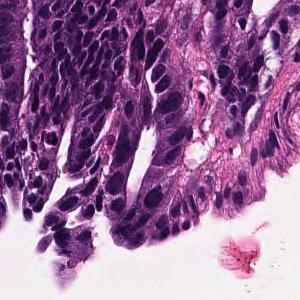
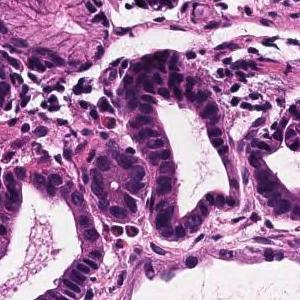
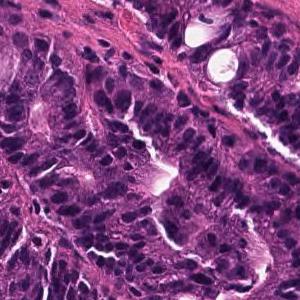
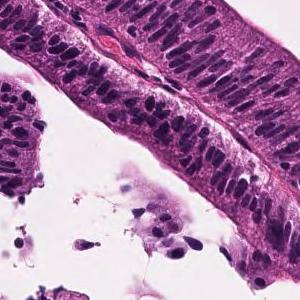
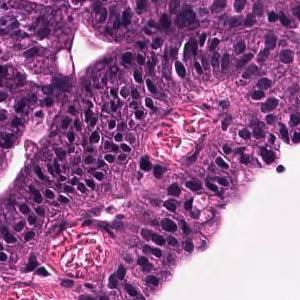
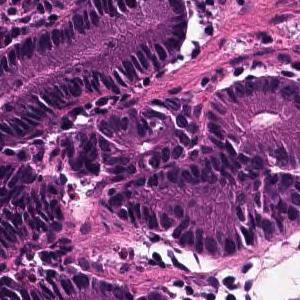
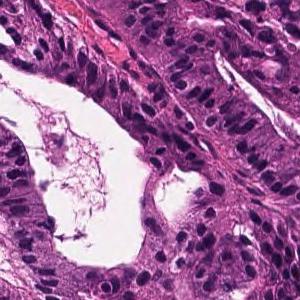
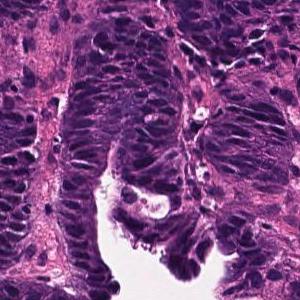
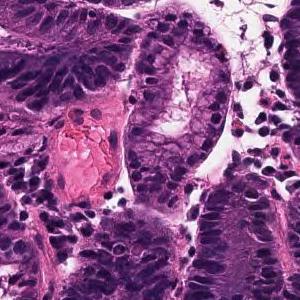
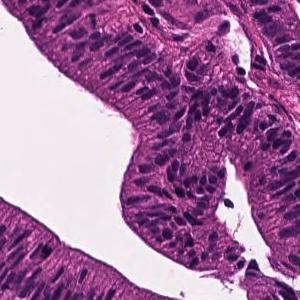
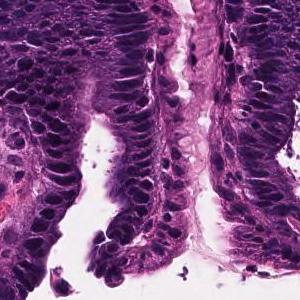
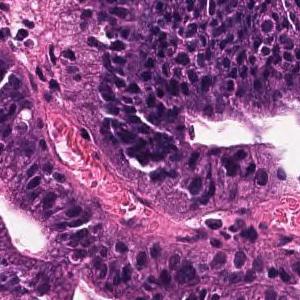
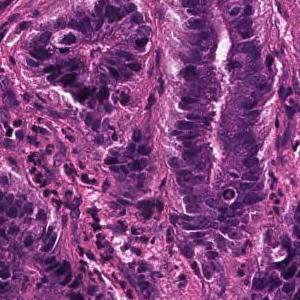
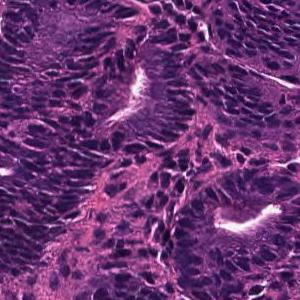
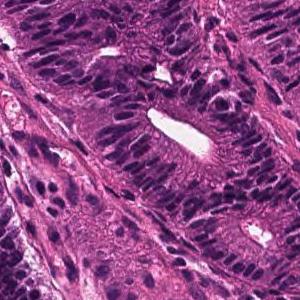
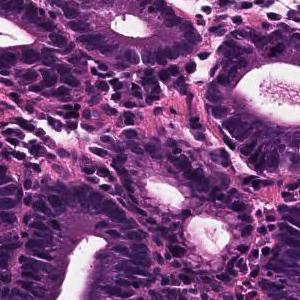
Hematoxylin and eosin stain · scanned at ×20 · 16 tiles cut from one stomach biopsy slide.
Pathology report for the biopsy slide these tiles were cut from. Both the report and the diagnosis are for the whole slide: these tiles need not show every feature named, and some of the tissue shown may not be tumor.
Tumor tissue that remains within the superficial epithelium and is infiltrated by large papillary or irregular ducts that fuse with each other is observed. Well differentiated tubular adenocarcinoma
